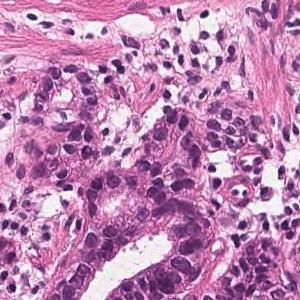
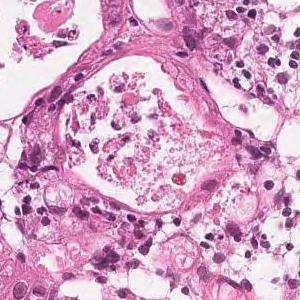
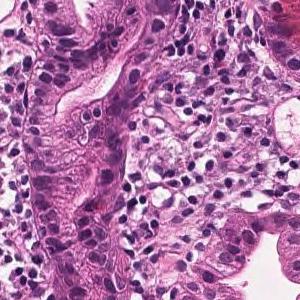
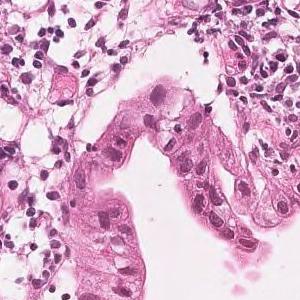
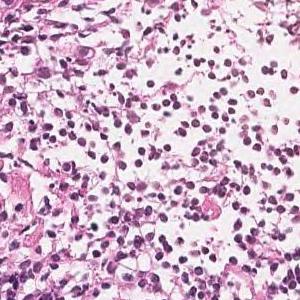
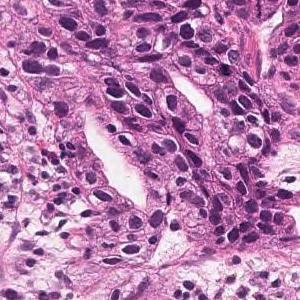
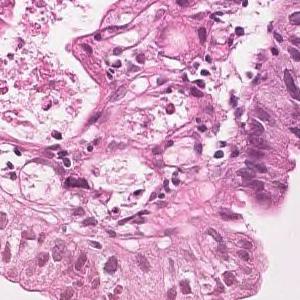
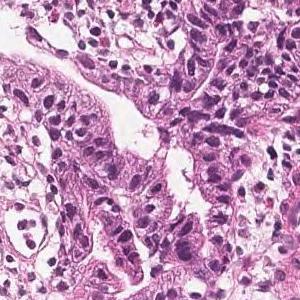
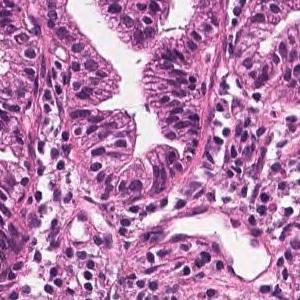
9 image tiles from a single gastric biopsy slide · 300×300 px each · H&E stain.
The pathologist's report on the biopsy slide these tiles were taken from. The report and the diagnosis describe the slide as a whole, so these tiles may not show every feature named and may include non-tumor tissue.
Tumor tissue consisting of medium-sized and irregular ducts is observed infiltrating in the superficial epithelium. Tumor cells are highly columnar, with nuclei aligned basolaterally and polarized. Well differentiated tubular adenocarcinoma.
